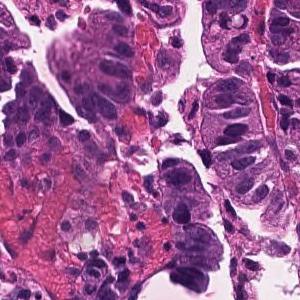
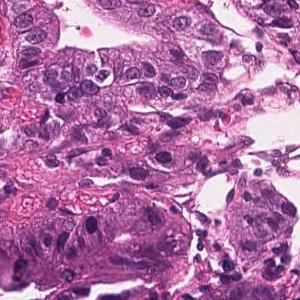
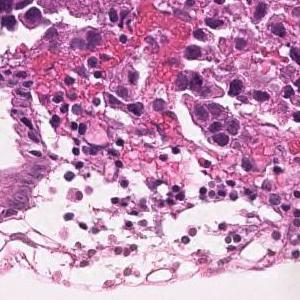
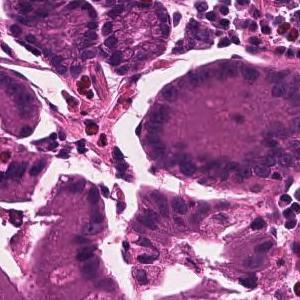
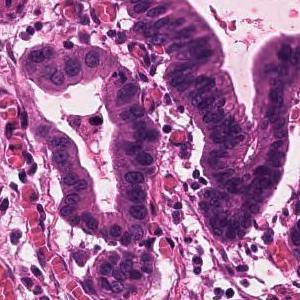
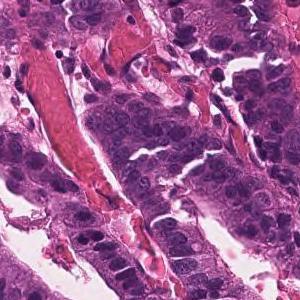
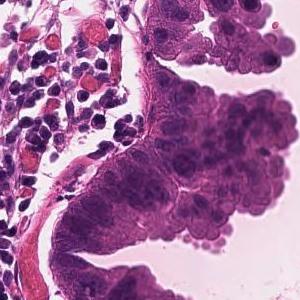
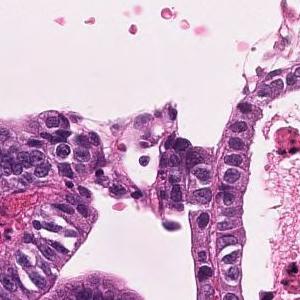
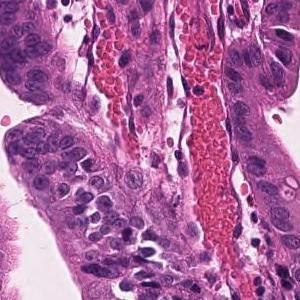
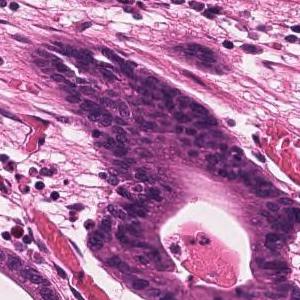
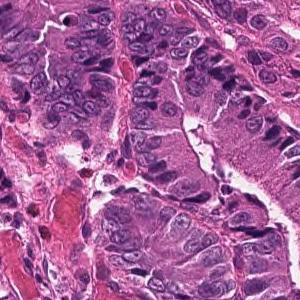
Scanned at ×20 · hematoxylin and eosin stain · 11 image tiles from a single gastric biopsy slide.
Pathology report for the slide these tiles were cut from. The report and the diagnosis describe the slide as a whole, so these tiles may not show every feature named and may include non-tumor tissue.
Infiltrating tumor tissue with medium-sized, irregular ductal structure or large papillary appearance is observed. Well differentiated tubular adenocarcinoma
